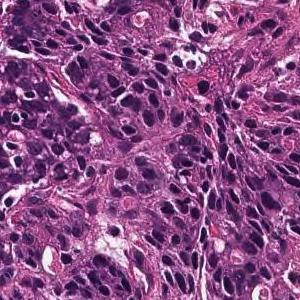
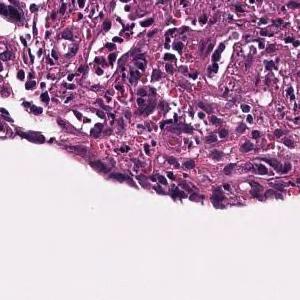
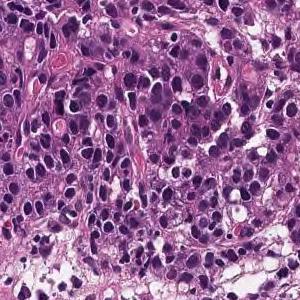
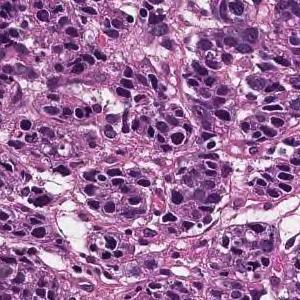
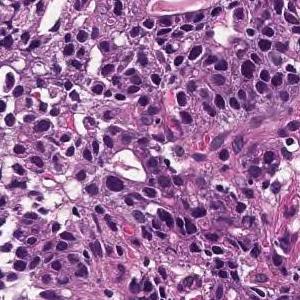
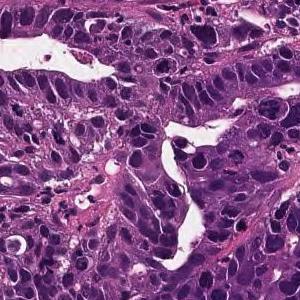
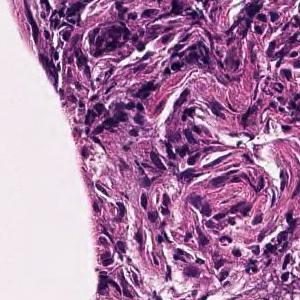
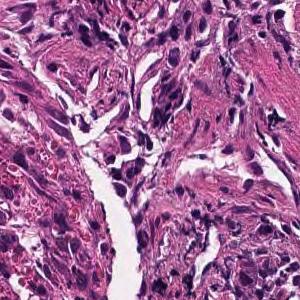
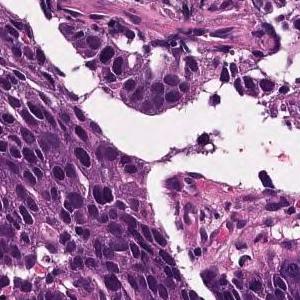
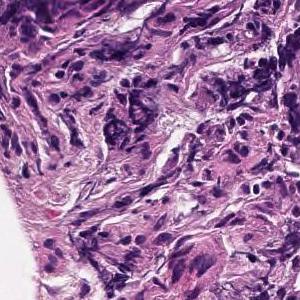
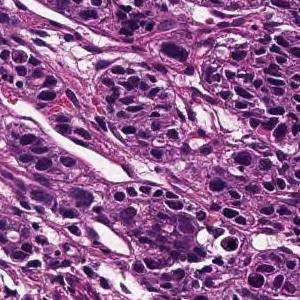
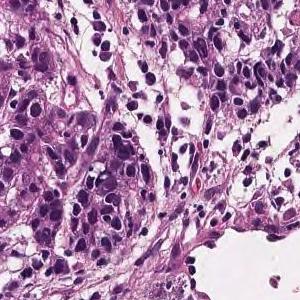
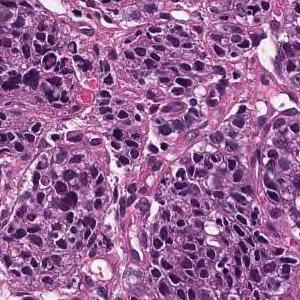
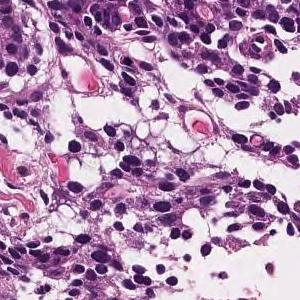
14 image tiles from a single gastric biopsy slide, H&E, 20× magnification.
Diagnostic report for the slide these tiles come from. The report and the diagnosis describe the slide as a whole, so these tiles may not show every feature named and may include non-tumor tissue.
Medium to small, irregular glandular ducts are formed in the superficial epithelium, and in some cases, the glandular ducts are fused to show solid alveolar lesions and infiltrating tumor tissue is observed. Moderately to poorly differentiated adenocarcinoma.
